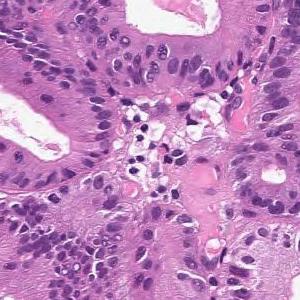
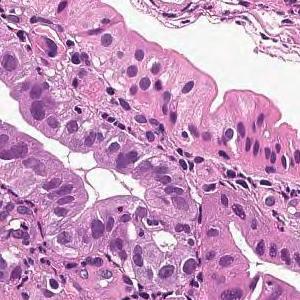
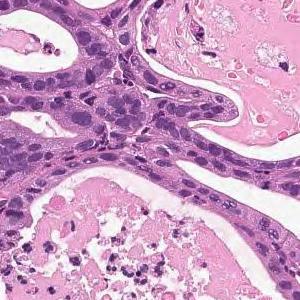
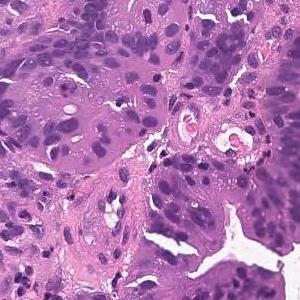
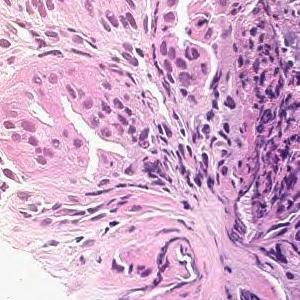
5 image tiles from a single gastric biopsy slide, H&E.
Diagnostic report for the slide these tiles come from. The report and the diagnosis describe the slide as a whole, so these tiles may not show every feature named and may include non-tumor tissue.
From the superficial epithelium to the muscularis mucosae, tumor tissue consisting of medium-sized and irregular glandular ducts infiltrating is observed. Well differentiated tubular adenocarcinoma
